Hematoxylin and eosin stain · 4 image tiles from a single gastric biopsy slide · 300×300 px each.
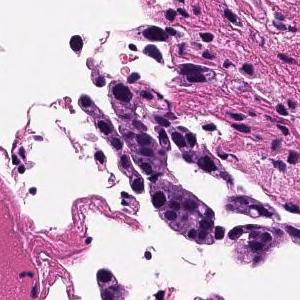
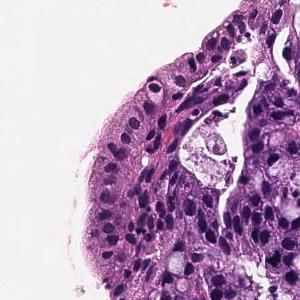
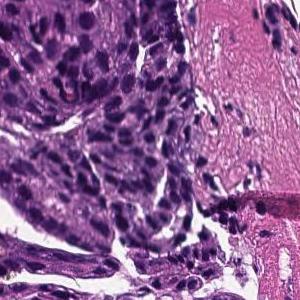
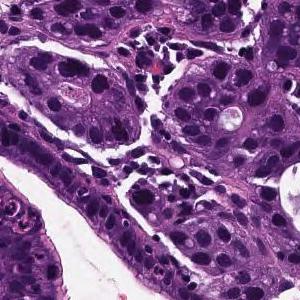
The pathologist's report on the biopsy slide these tiles were taken from. Both the report and the diagnosis are for the whole slide: these tiles need not show every feature named, and some of the tissue shown may not be tumor.
In the superficial epithelium, tumor tissue that invades by forming medium-sized to small, irregular ducts is observed. moderately differentiated tubular adenocarcinoma.
